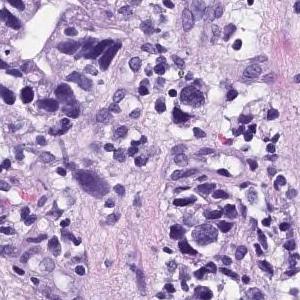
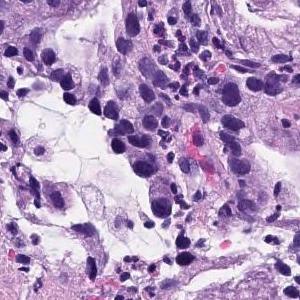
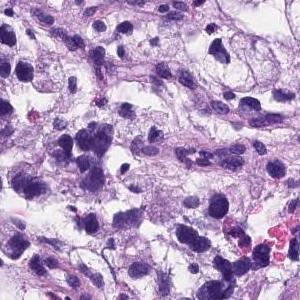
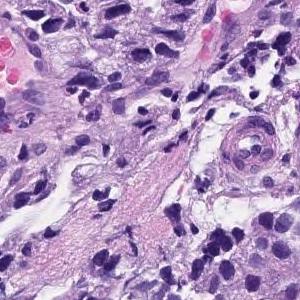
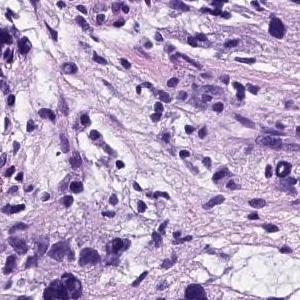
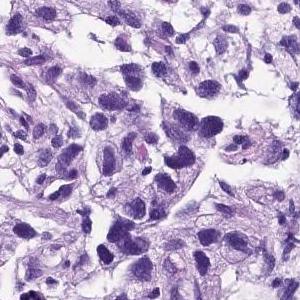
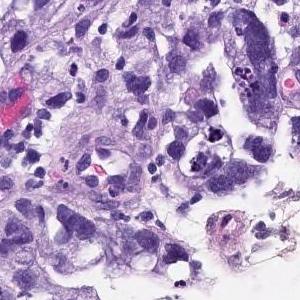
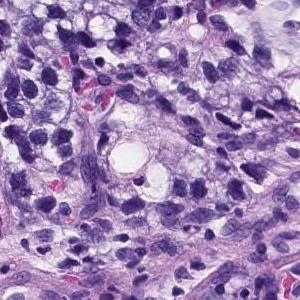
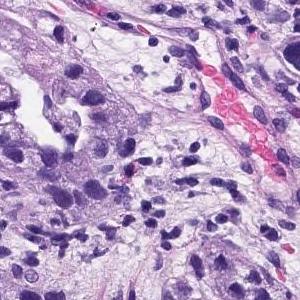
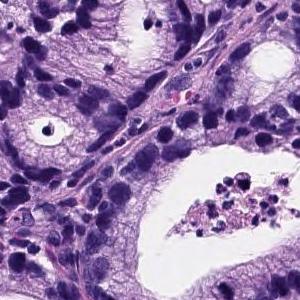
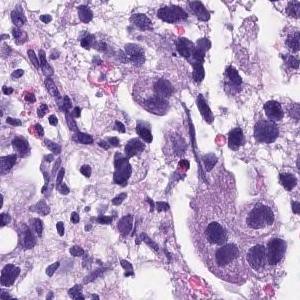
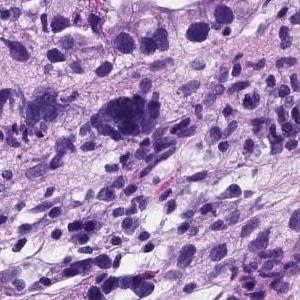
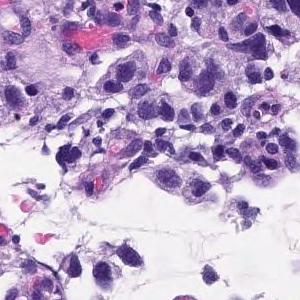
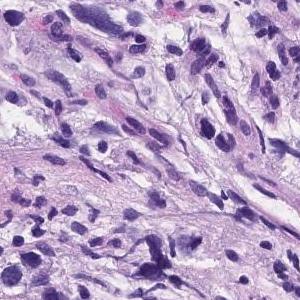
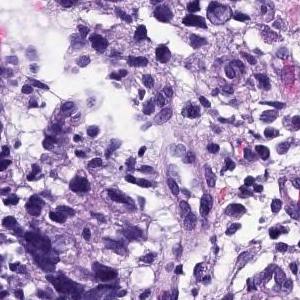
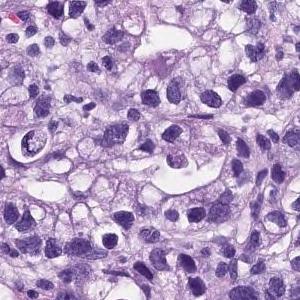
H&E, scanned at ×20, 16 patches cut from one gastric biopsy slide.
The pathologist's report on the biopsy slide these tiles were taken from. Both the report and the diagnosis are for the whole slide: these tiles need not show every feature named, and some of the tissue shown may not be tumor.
Medium to small, irregular glandular ducts are formed in the superficial epithelium, and in some cases, the glandular ducts are fused to show solid alveolar lesions and infiltrating tumor tissue is observed. Poorly differentiated adenocarcinoma, Moderately differentiated adenocarcinoma.
Labeled in the dataset as moderately differentiated tubular adenocarcinoma.
